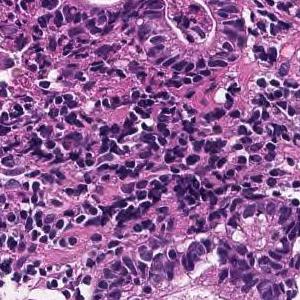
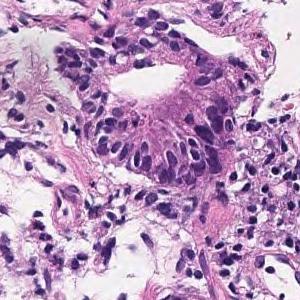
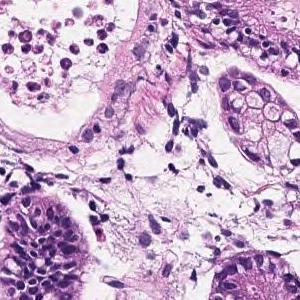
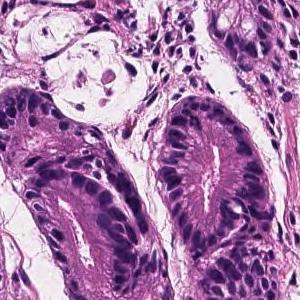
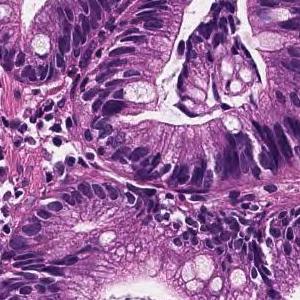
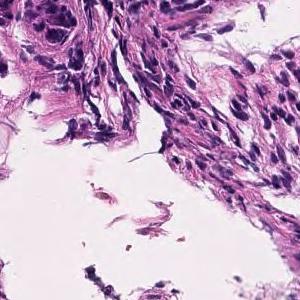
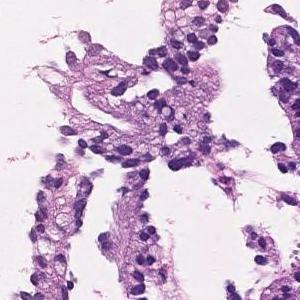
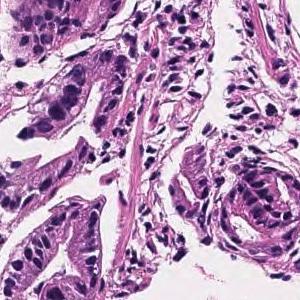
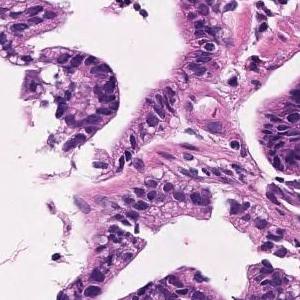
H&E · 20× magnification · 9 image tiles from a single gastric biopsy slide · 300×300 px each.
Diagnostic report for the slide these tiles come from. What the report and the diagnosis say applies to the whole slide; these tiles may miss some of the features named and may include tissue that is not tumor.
Most remain in the superficial epithelium, forming medium-sized papillary or small irregular ducts and proliferating, and some tumor tissue invades the muscularis mucosae. Papillary adenocarcinoma
